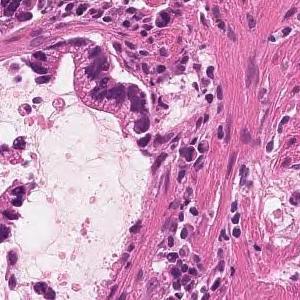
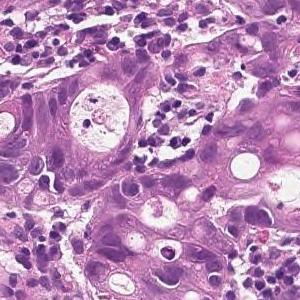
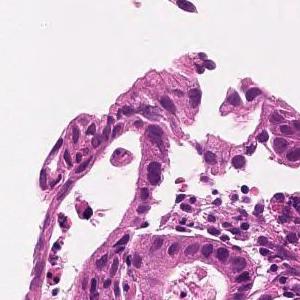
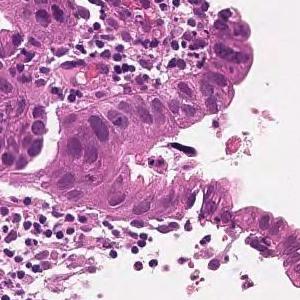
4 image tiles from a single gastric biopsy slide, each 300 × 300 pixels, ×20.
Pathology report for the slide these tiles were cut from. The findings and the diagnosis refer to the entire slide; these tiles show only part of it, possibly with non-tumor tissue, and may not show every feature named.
On the superficial epithelium, tumor tissue is found in which medium-sized irregular gland ducts fuse with each other and infiltrate. moderately differentiated tubular adenocarcinoma
